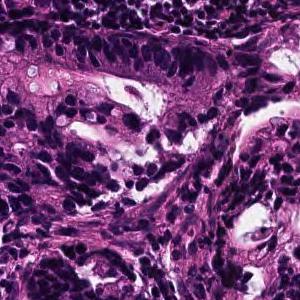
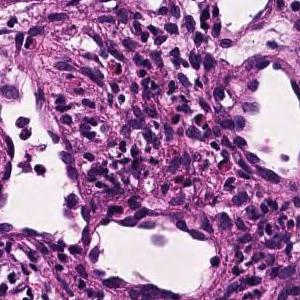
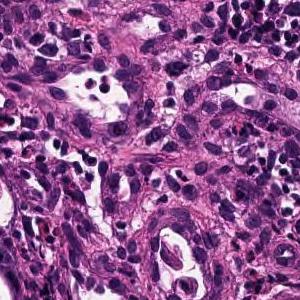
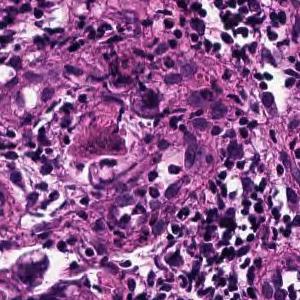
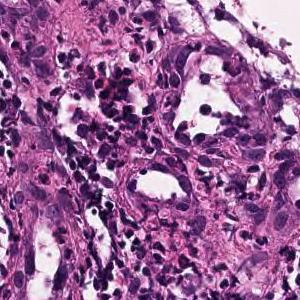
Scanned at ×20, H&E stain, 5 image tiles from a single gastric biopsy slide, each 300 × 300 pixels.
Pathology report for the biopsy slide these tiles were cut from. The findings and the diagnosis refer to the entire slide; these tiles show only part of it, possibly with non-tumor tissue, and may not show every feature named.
On the superficial epithelium, tumor tissue consisting of large, irregular glandular ducts partially fused and infiltrated is observed. Well to moderately differentiated tubular adenocarcinoma (well differentiated tubular adenocarcinoma, moderately differentiated tubular adenocarcinoma)
Subtype: Well to moderately differentiated tubular adenocarcinoma.
